Hematoxylin and eosin stain · 7 tiles from the same stomach biopsy slide.
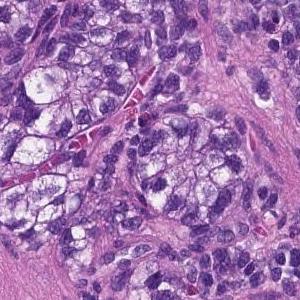
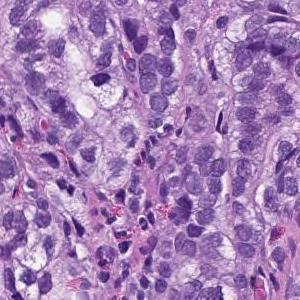
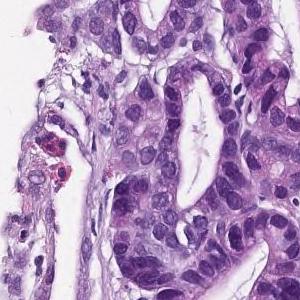
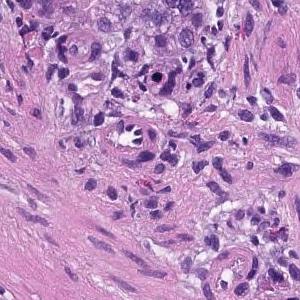
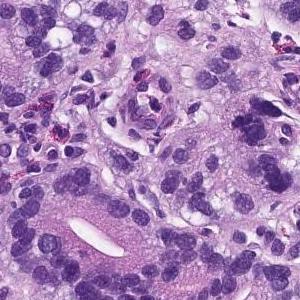
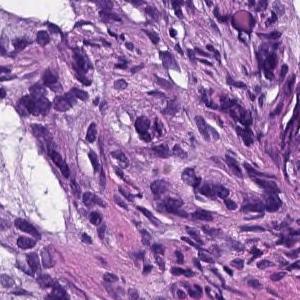
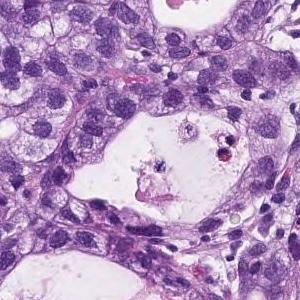
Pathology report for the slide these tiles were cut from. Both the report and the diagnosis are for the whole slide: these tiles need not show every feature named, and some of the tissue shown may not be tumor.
From the superficial epithelium to the muscularis mucosae, tumor tissue consisting of medium-sized and irregular glandular ducts infiltrating is observed. Well differentiated tubular adenocarcinoma
